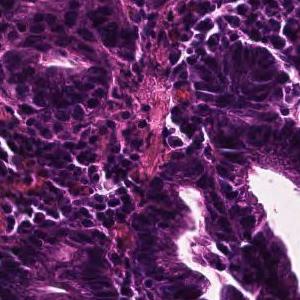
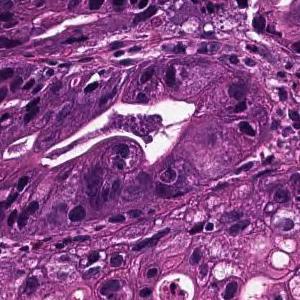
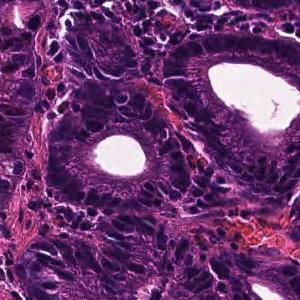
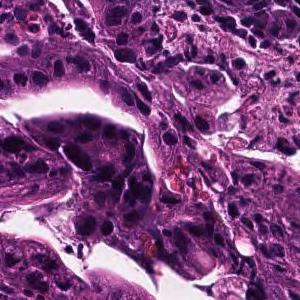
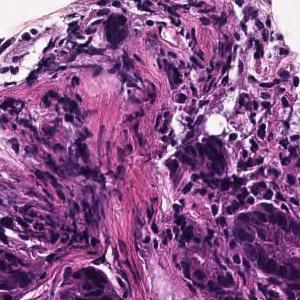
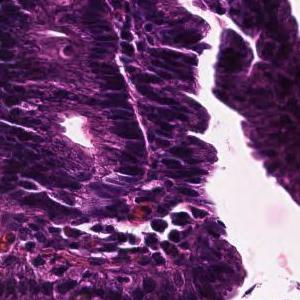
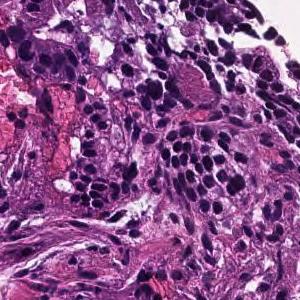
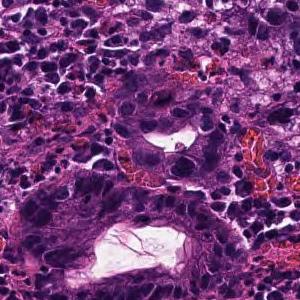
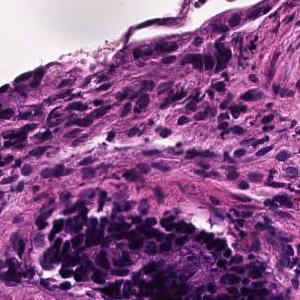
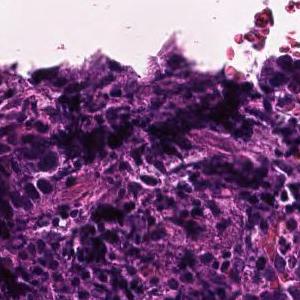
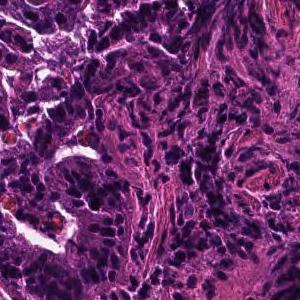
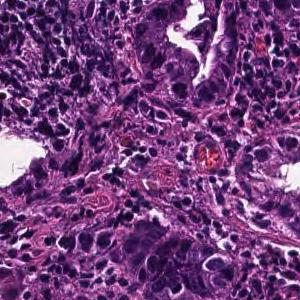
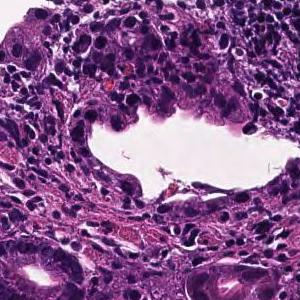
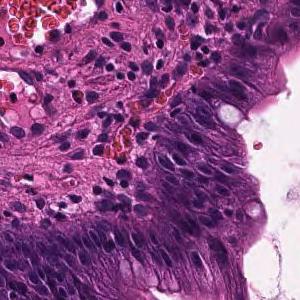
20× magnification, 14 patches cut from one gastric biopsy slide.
The pathologist's report on the biopsy slide these tiles were taken from. The report and the diagnosis cover the entire slide, so not every feature they name need be visible here, and some tissue shown may not be tumor.
In the superficial epithelium, tumor tissue that invades by forming medium-sized to small, irregular ducts is observed. moderately differentiated tubular adenocarcinoma.
